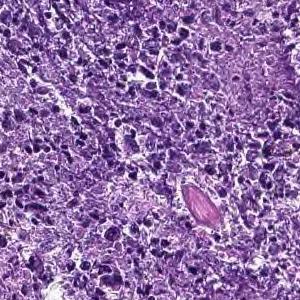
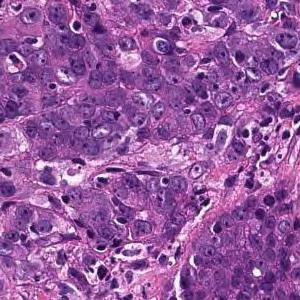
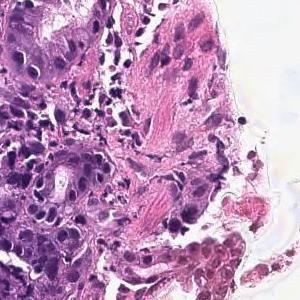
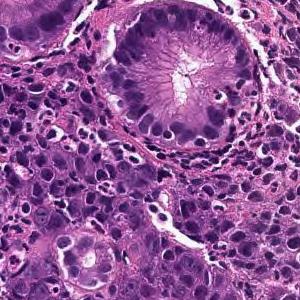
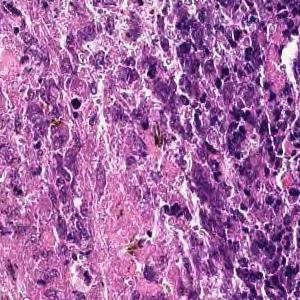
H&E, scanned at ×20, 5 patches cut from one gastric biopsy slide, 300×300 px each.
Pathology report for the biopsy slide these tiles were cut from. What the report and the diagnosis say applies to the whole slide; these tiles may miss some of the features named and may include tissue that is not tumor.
Cancers with polygonal nuclei do not show glandular formation and are densely, in part, cord-like and proliferate. Poorly differentiated adenocarcinoma
Tumor subtype: poorly differentiated adenocarcinoma, non-solid type.
"Non-solid type" is a category of the Japanese Classification of Gastric Carcinoma.
